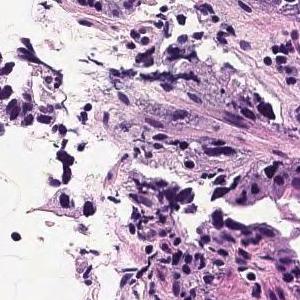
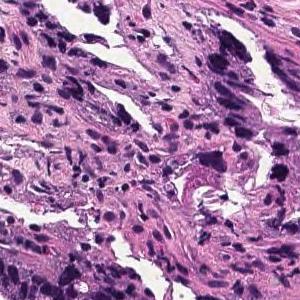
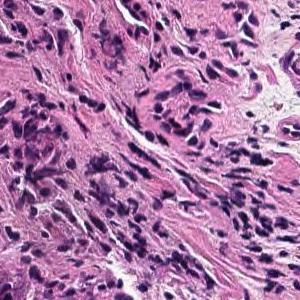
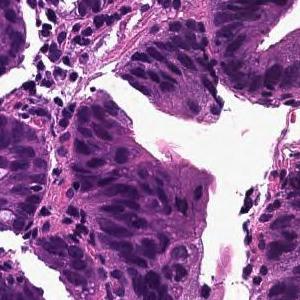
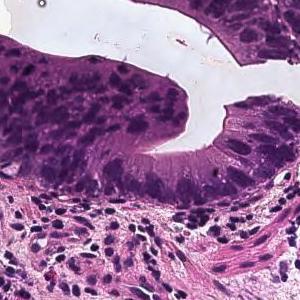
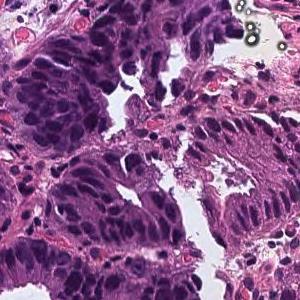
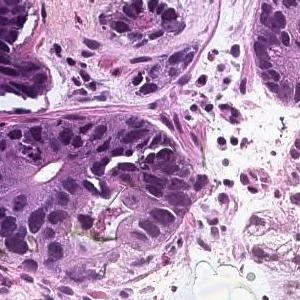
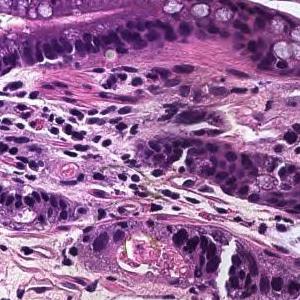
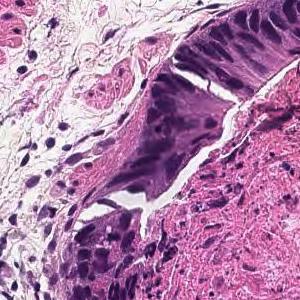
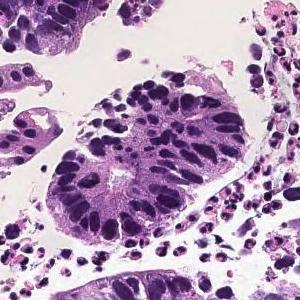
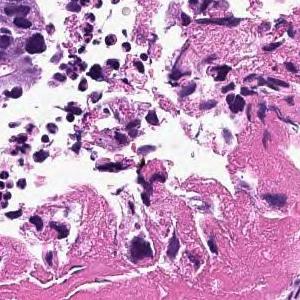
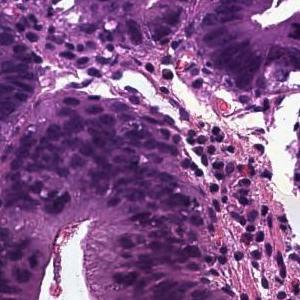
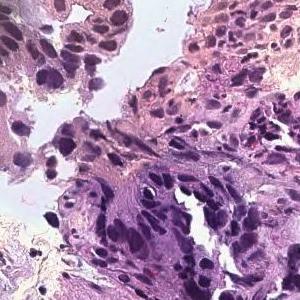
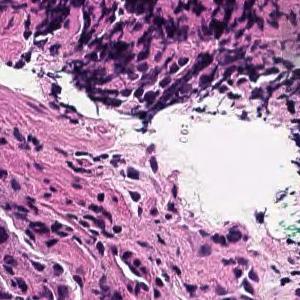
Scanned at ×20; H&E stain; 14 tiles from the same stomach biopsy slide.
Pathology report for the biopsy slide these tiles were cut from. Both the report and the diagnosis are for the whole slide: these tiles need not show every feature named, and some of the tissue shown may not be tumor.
In the superficial epithelium, tumor tissue that invades by forming medium-sized to small, irregular ducts is observed. moderately differentiated tubular adenocarcinoma.
